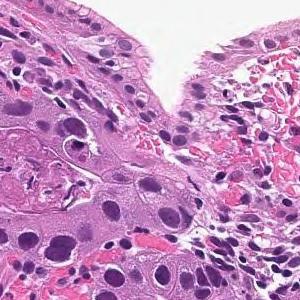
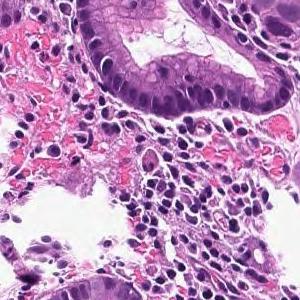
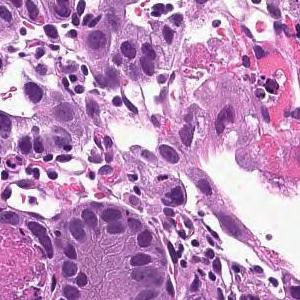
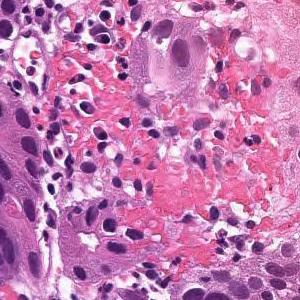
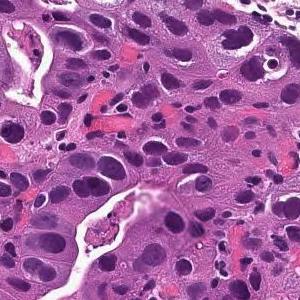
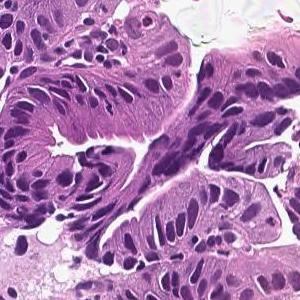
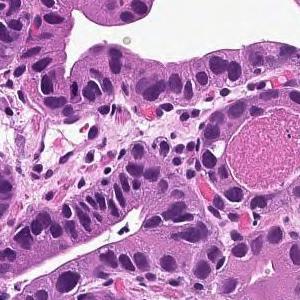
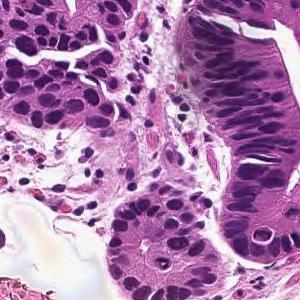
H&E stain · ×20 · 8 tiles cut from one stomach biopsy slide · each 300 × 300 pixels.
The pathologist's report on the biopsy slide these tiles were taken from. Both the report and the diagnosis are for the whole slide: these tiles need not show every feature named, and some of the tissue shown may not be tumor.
From the superficial epithelium to the muscularis mucosae, tumor tissue consisting of medium-sized and irregular glandular ducts infiltrating is observed. Well differentiated tubular adenocarcinoma
